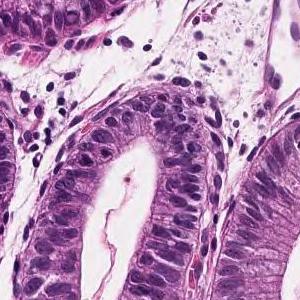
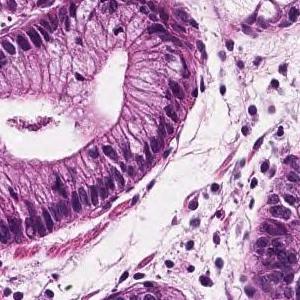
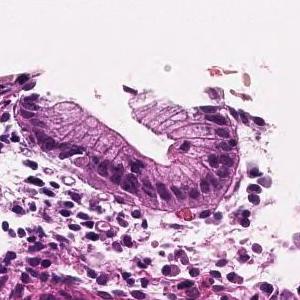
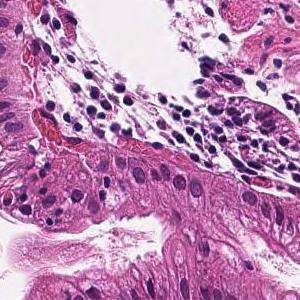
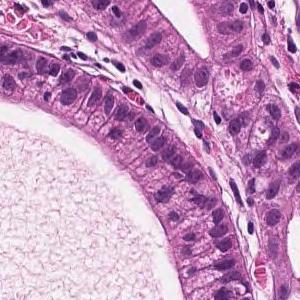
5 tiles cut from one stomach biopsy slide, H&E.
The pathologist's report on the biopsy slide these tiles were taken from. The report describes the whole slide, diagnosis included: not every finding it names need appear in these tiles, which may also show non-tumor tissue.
In the superficial epithelium, tumor tissue that invades by forming medium-sized to small, irregular ducts is observed. Well differentiated tubular adenocarcinoma.
